Hematoxylin and eosin stain, 10 tiles from the same stomach biopsy slide, 300 × 300 pixels each.
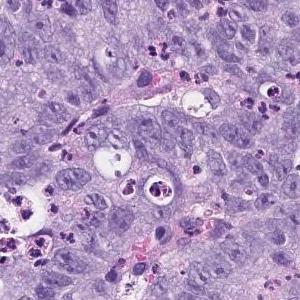
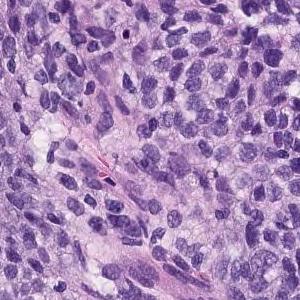
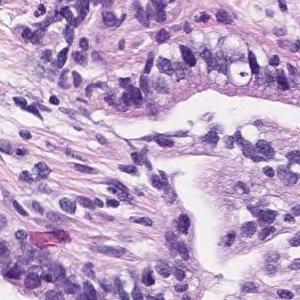
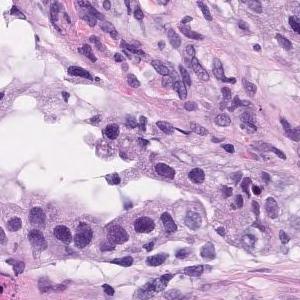
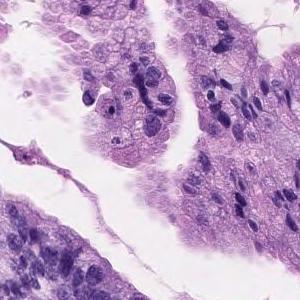
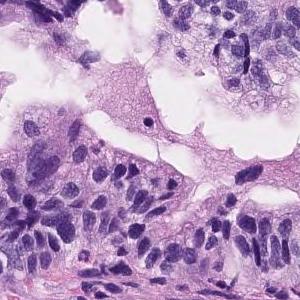
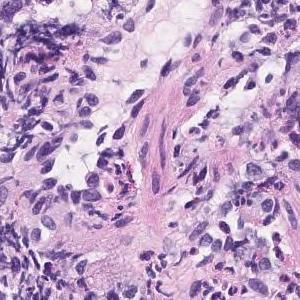
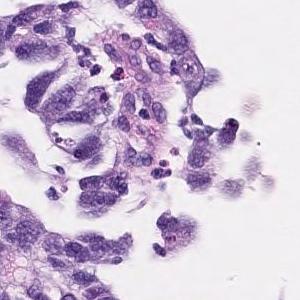
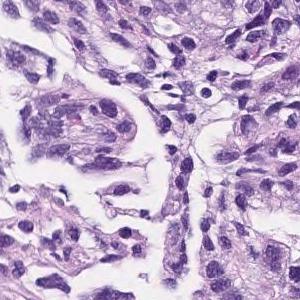
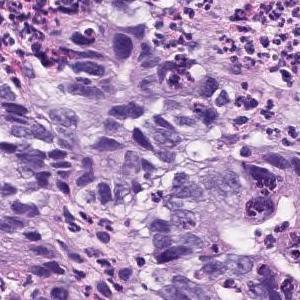
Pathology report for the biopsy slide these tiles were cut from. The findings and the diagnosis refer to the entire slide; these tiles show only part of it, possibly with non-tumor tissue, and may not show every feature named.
Tumor cells are large, highly columnar, large club-shaped nuclei, and are associated with chromatin aggregation. Papillary adenocarcinoma.
